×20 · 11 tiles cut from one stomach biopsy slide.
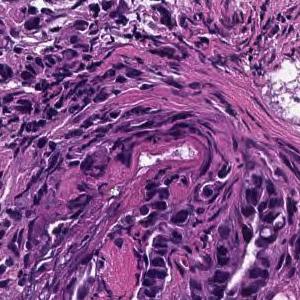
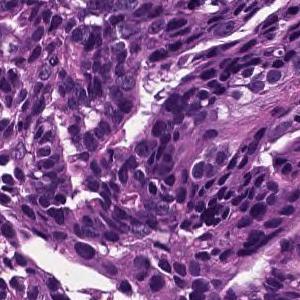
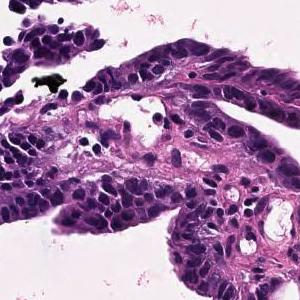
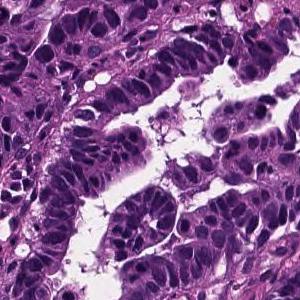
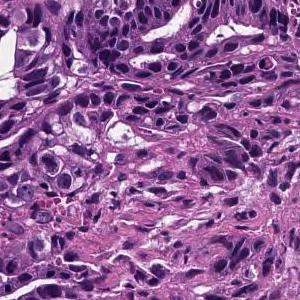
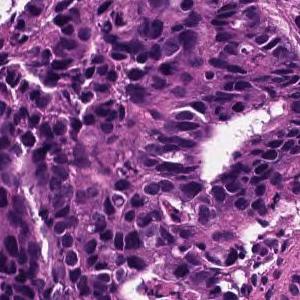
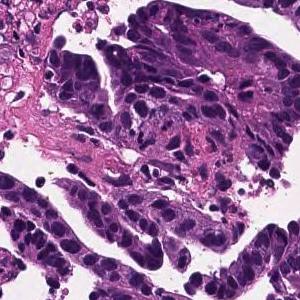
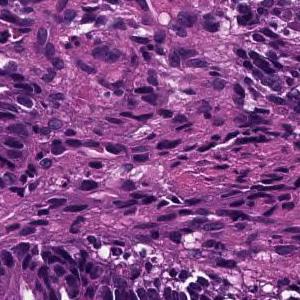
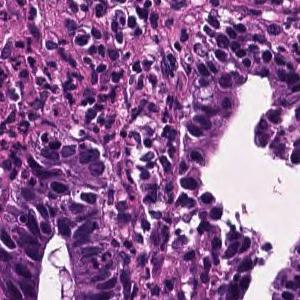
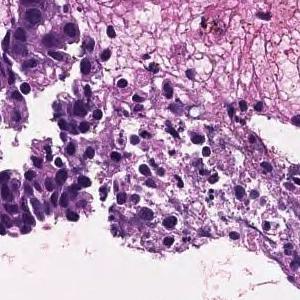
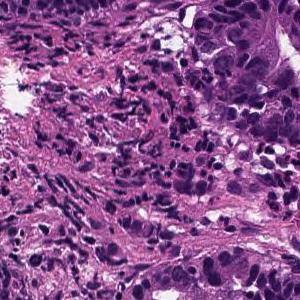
Diagnostic report for the slide these tiles come from. The report describes the whole slide, diagnosis included: not every finding it names need appear in these tiles, which may also show non-tumor tissue.
Tumor cells are large, highly columnar, large club-shaped nuclei, and are associated with chromatin aggregation. Papillary adenocarcinoma.
